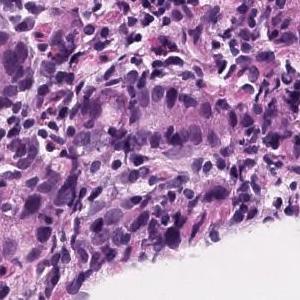
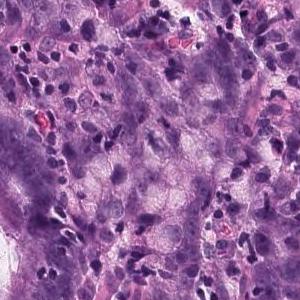
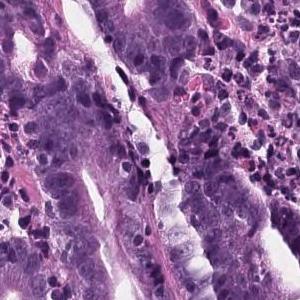
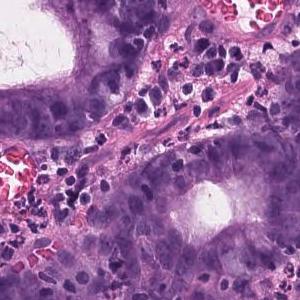
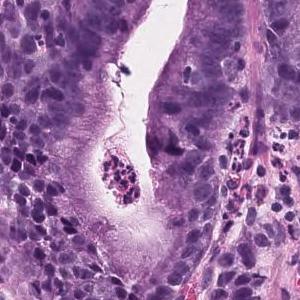
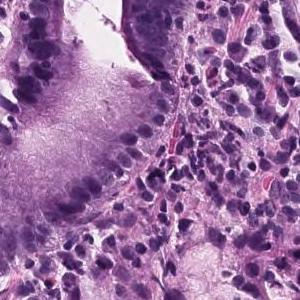
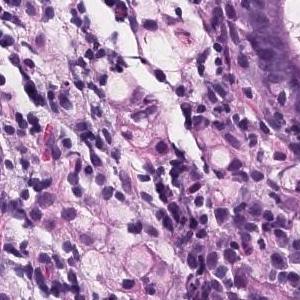
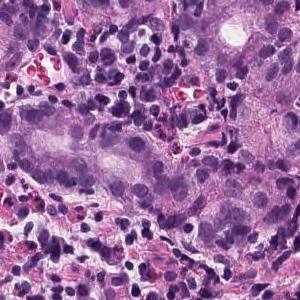
Scanned at ×20 · H&E stain · 8 image tiles from a single gastric biopsy slide · 300 × 300 pixels each.
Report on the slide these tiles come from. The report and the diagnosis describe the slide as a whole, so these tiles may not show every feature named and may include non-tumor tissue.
In the superficial epithelium, tumor tissue that invades by forming medium-sized to small, irregular ducts is observed. Moderately differentiated adenocarcinoma.
Classified as moderately differentiated tubular adenocarcinoma.
